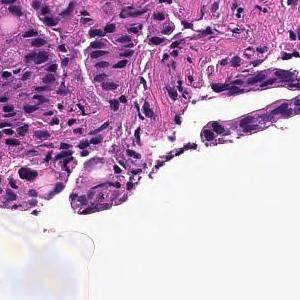
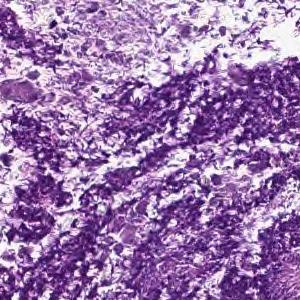
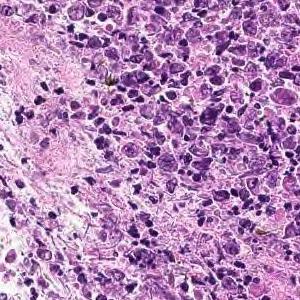
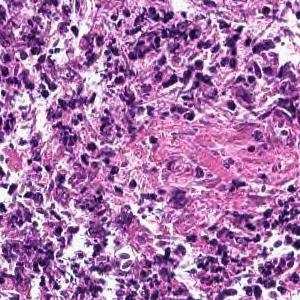
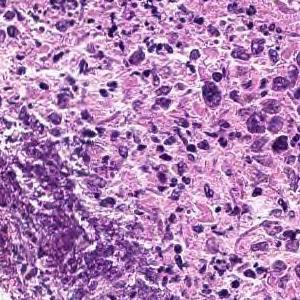
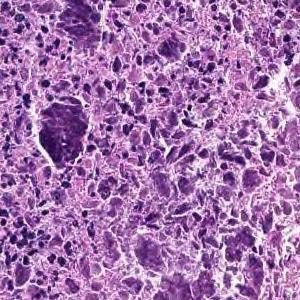
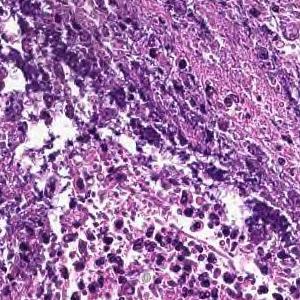
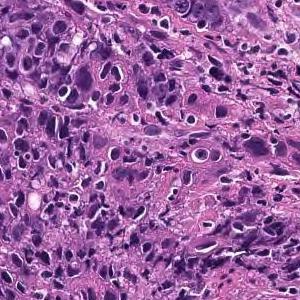
Scanned at ×20; 8 tiles from the same stomach biopsy slide.
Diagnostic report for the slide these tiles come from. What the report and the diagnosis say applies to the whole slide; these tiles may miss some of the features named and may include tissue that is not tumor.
Cancers with polygonal nuclei do not show glandular formation and are densely, in part, cord-like and proliferate. Poorly differentiated adenocarcinoma
Histological subtype: Poorly differentiated adenocarcinoma, non-solid type.
The term "non-solid type" comes from the Japanese Classification of Gastric Carcinoma.
